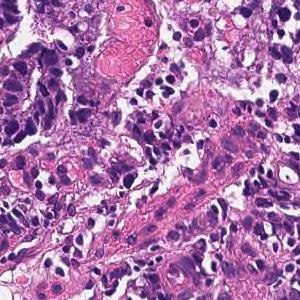
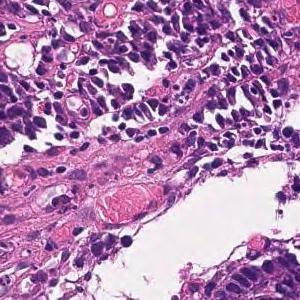
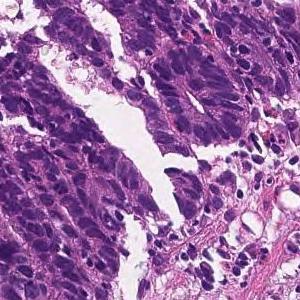
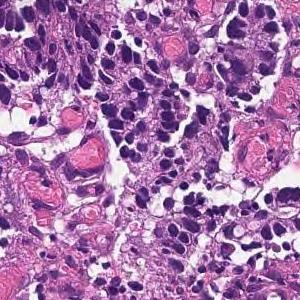
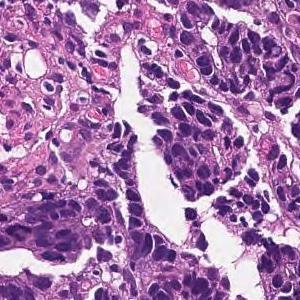
5 tiles cut from one stomach biopsy slide · scanned at ×20 · H&E.
Pathology report for the slide these tiles were cut from. The report describes the whole slide, diagnosis included: not every finding it names need appear in these tiles, which may also show non-tumor tissue.
In the superficial epithelium, tumor tissue that invades by forming medium-sized to small, irregular ducts is observed. Moderately differentiated adenocarcinoma (moderately differentiated tubular adenocarcinoma).
Histological subtype: Moderately differentiated tubular adenocarcinoma.
